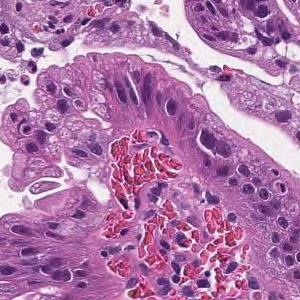
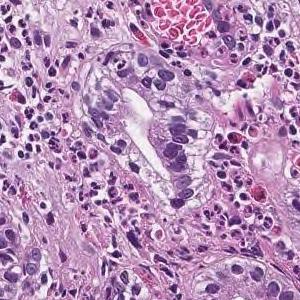
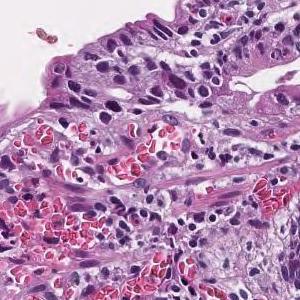
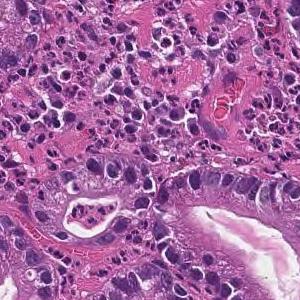
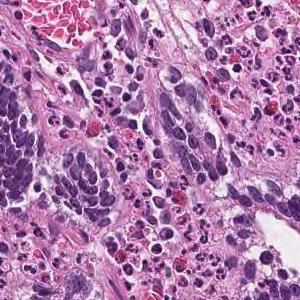
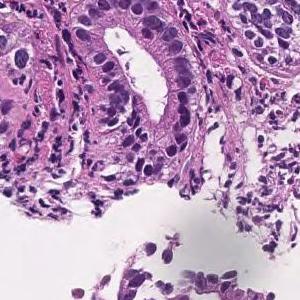
6 tiles cut from one stomach biopsy slide, 300 × 300 pixels each, ×20, hematoxylin and eosin stain.
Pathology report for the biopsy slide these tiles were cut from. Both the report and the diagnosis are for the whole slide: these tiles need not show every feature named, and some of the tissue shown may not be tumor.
Tumor cells are large, highly columnar, large club-shaped nuclei, and are associated with chromatin aggregation. Papillary adenocarcinoma.
